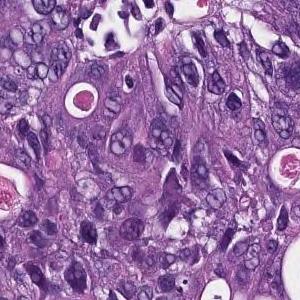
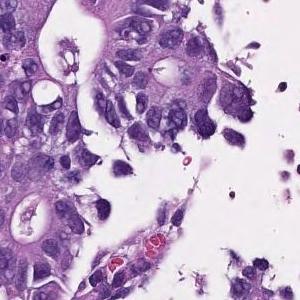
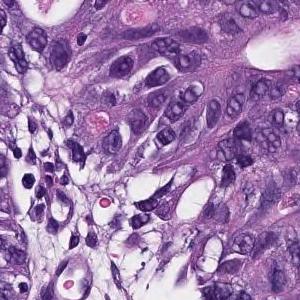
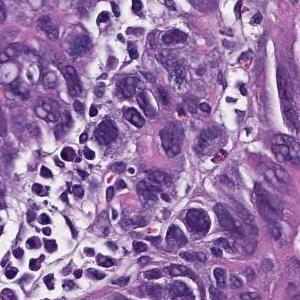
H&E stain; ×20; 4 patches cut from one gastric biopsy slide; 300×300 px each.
Pathology report for the slide these tiles were cut from. What the report and the diagnosis say applies to the whole slide; these tiles may miss some of the features named and may include tissue that is not tumor.
In the superficial epithelium, tumor tissue that invades by forming medium-sized to small, irregular ducts is observed. moderately differentiated tubular adenocarcinoma.
